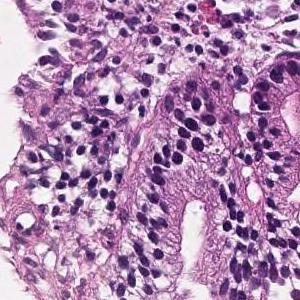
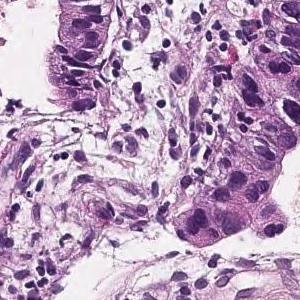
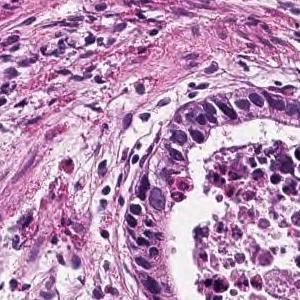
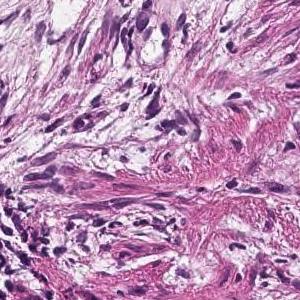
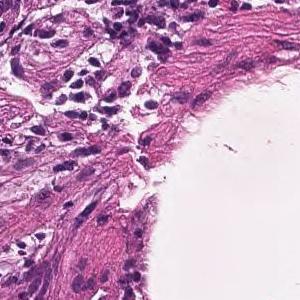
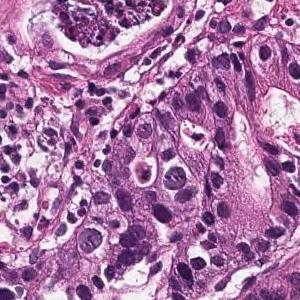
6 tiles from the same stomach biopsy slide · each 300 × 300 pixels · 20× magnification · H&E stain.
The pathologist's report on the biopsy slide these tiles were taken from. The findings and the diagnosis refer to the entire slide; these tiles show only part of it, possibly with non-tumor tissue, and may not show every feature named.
On the superficial epithelium, tumor tissue consisting of large, irregular glandular ducts partially fused and infiltrated is observed. Well to moderately differentiated tubular adenocarcinoma (well differentiated tubular adenocarcinoma, moderately differentiated tubular adenocarcinoma)
Subtype: Well to moderately differentiated tubular adenocarcinoma.
